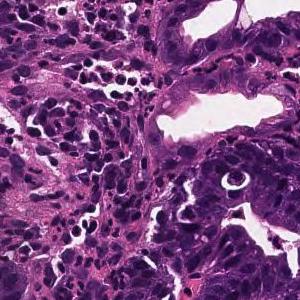
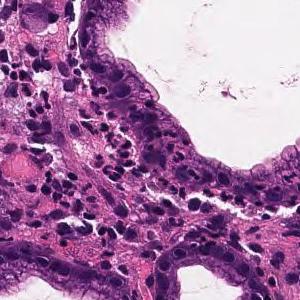
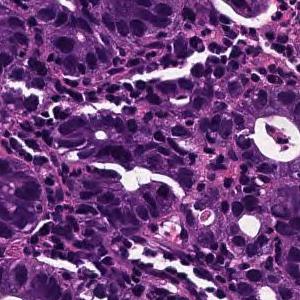
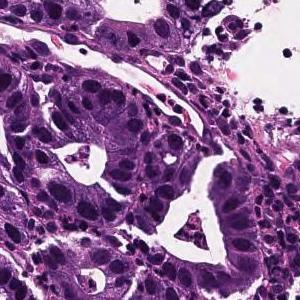
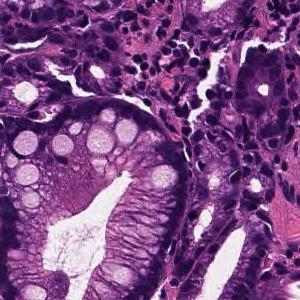
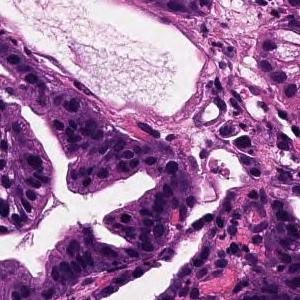
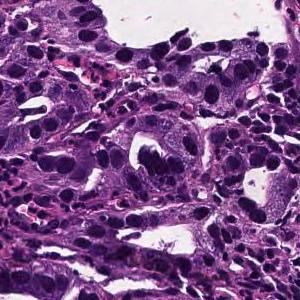
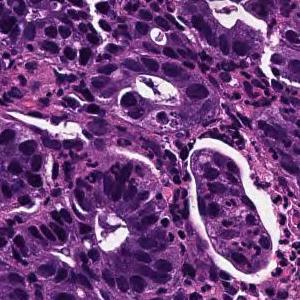
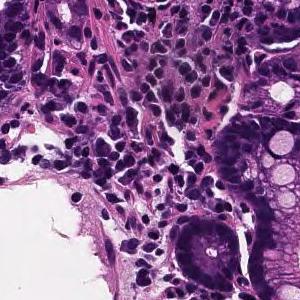
×20 · H&E · 9 patches cut from one gastric biopsy slide · each 300 × 300 pixels.
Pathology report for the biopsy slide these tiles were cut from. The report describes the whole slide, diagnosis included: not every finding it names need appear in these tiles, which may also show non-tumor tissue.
From the superficial epithelium to the muscularis mucosae, tumor tissue consisting of medium-sized and irregular glandular ducts infiltrating is observed. Well differentiated tubular adenocarcinoma
